4 patches cut from one gastric biopsy slide; 300×300 px each; H&E.
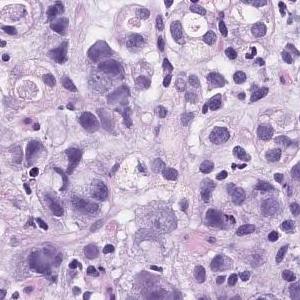
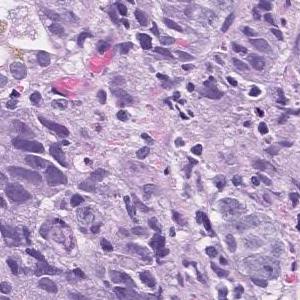
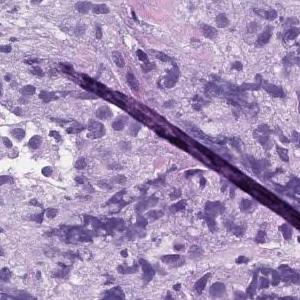
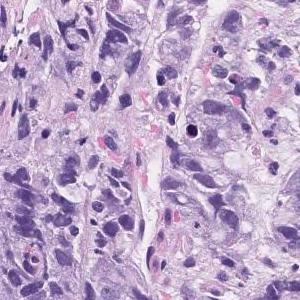
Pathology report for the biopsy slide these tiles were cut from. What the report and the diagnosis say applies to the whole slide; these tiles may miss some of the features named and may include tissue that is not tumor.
Atypical l cells with atypical nuclei forming solid vesicles or small irregular atypical ducts that proliferate in a complex manner. poorly differentiated adenocarcinoma, solid type, moderately differentiated tubular adenocarcinoma
The term "solid type" comes from the Japanese Classification of Gastric Carcinoma; the WHO 2019 equivalent is tubular adenocarcinoma, poorly differentiated.
